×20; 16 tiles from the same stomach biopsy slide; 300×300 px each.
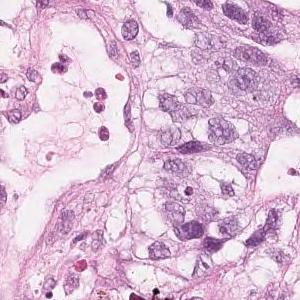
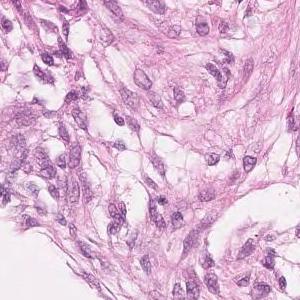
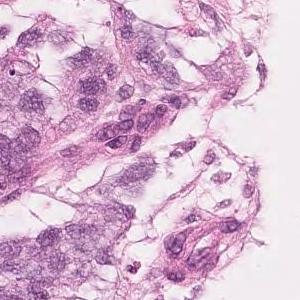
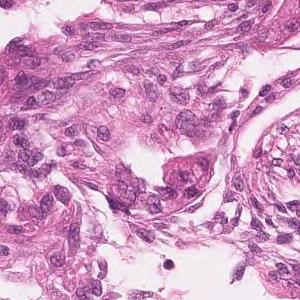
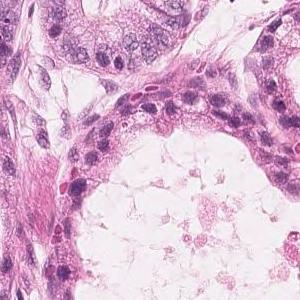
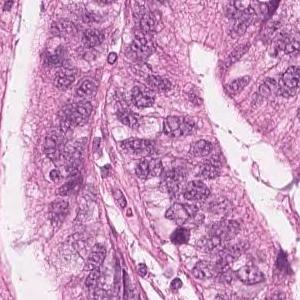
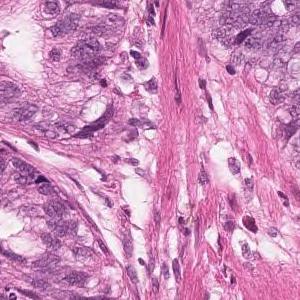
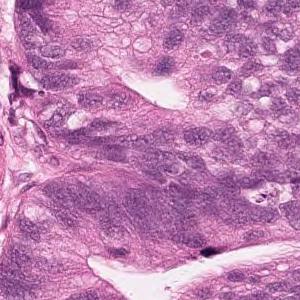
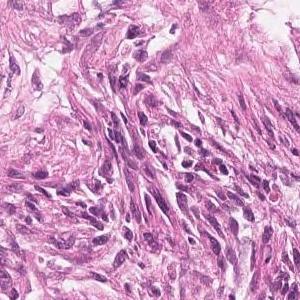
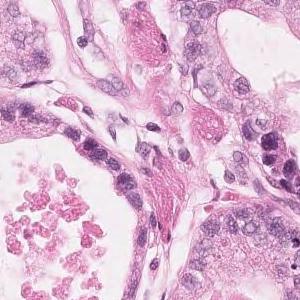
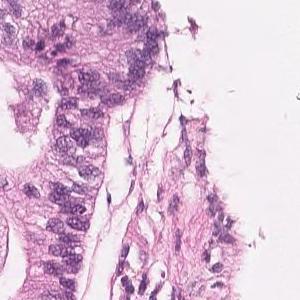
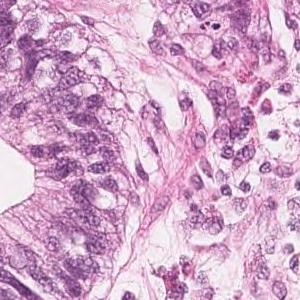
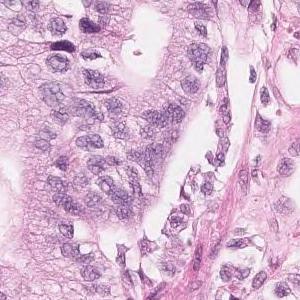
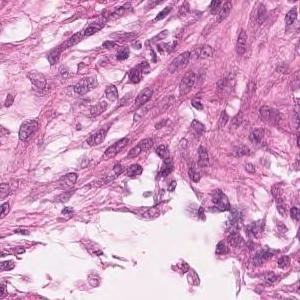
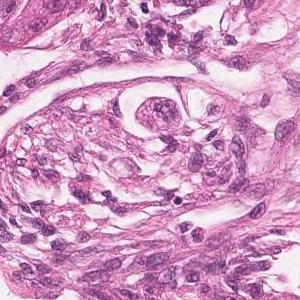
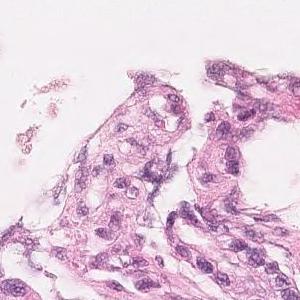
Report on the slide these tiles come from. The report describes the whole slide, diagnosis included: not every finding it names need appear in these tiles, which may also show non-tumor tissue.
Highly columnar epithelium with disordered nuclear localization proliferates showing fusion ductal construction. moderately differentiated tubular adenocarcinoma
